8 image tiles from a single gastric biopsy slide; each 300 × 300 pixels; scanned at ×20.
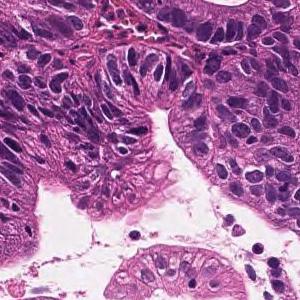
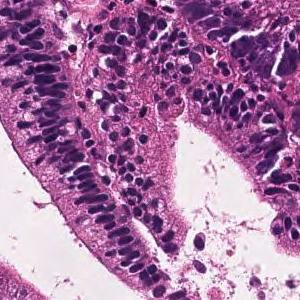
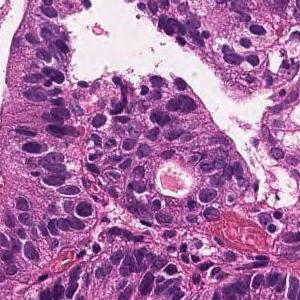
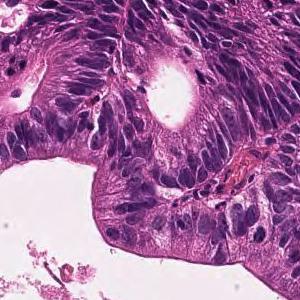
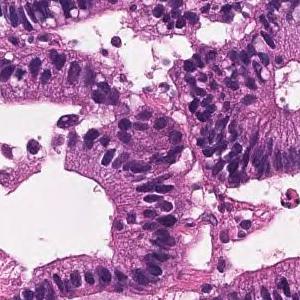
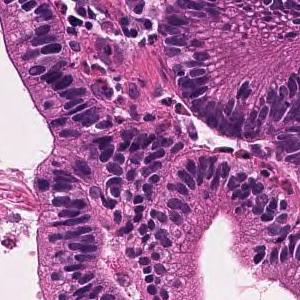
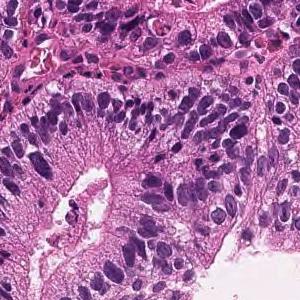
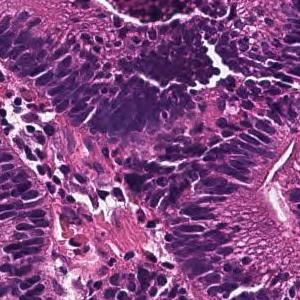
Pathology report for the biopsy slide these tiles were cut from. The findings and the diagnosis refer to the entire slide; these tiles show only part of it, possibly with non-tumor tissue, and may not show every feature named.
From the superficial epithelium to the muscularis mucosae, tumor tissue infiltrating by forming medium-sized irregular gland ducts is observed. Large tumor cells exhibit large nucleus and hyperchromatism. Well differentiated tubular adenocarcinoma
